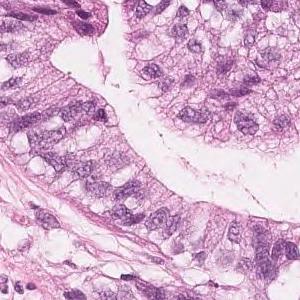
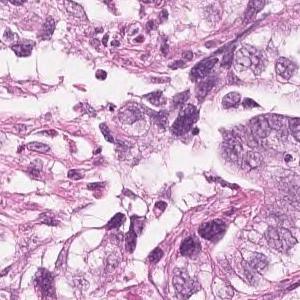
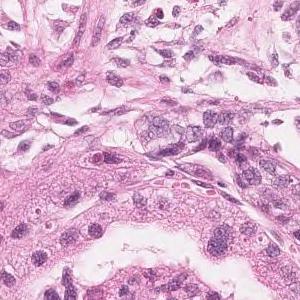
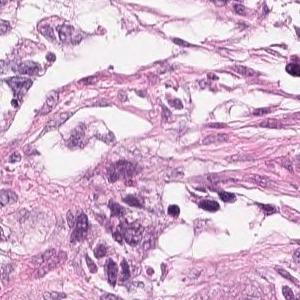
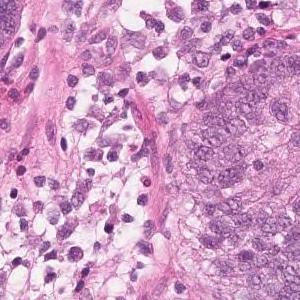
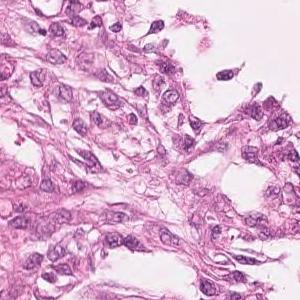
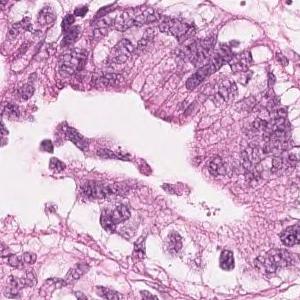
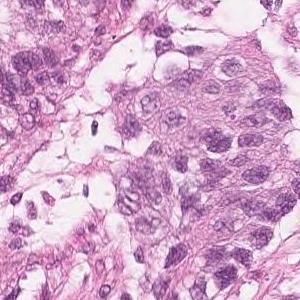
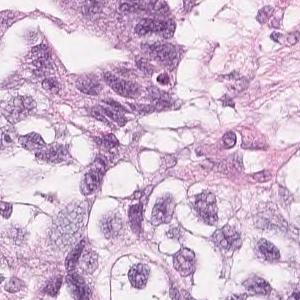
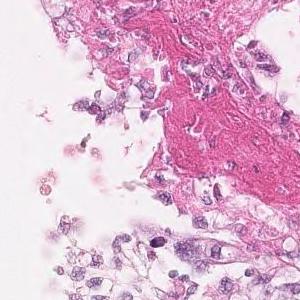
H&E stain · 10 tiles cut from one stomach biopsy slide · 300 × 300 pixels each.
Pathology report for the biopsy slide these tiles were cut from. The report and the diagnosis cover the entire slide, so not every feature they name need be visible here, and some tissue shown may not be tumor.
Highly columnar epithelium with disordered nuclear localization proliferates showing fusion ductal construction. moderately differentiated tubular adenocarcinoma
